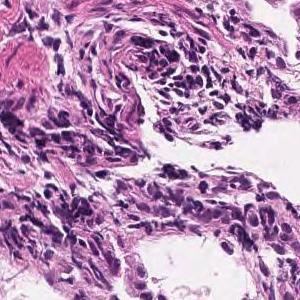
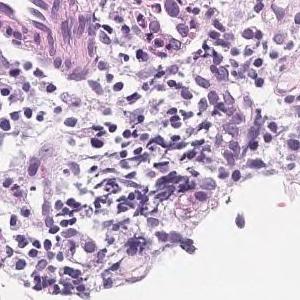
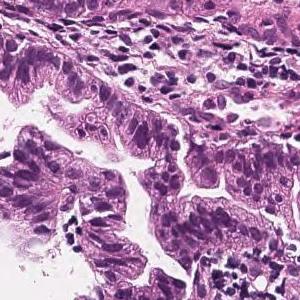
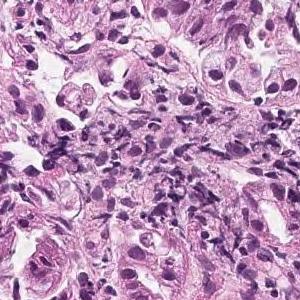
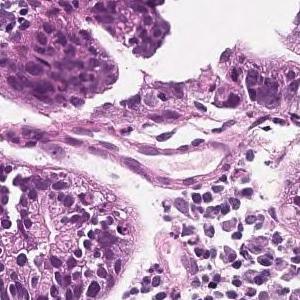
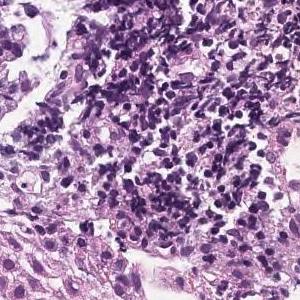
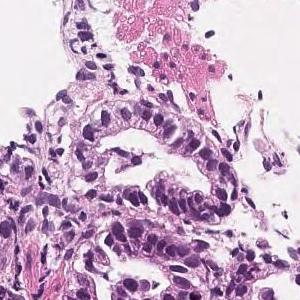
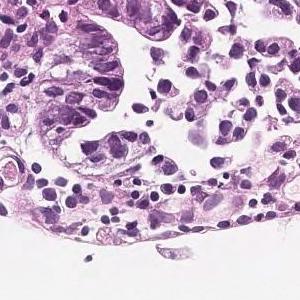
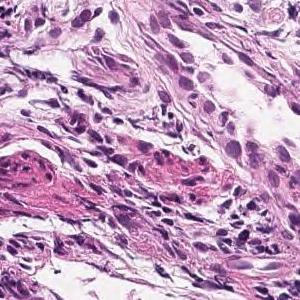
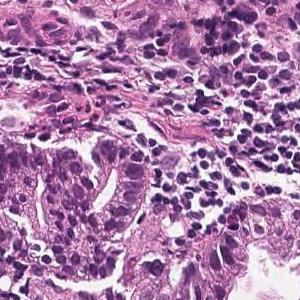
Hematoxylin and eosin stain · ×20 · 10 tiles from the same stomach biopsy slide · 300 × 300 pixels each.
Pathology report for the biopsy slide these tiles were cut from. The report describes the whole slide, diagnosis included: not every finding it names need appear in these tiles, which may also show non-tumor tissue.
In the superficial epithelium, tumor tissue that invades by forming medium-sized to small, irregular ducts is observed. moderately differentiated tubular adenocarcinoma.
